Hematoxylin and eosin stain; 7 image tiles from a single gastric biopsy slide.
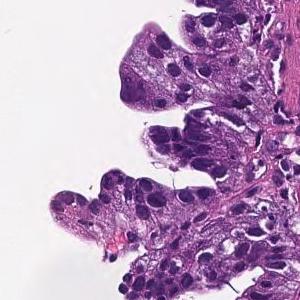
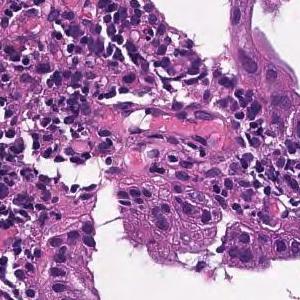
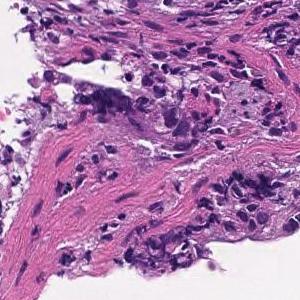
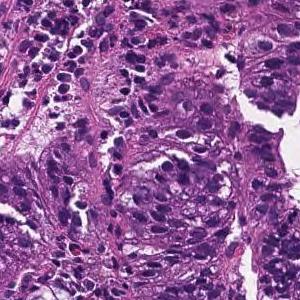
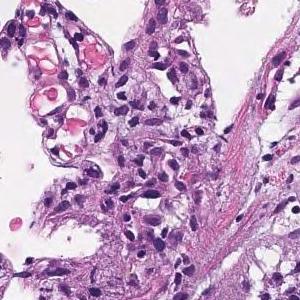
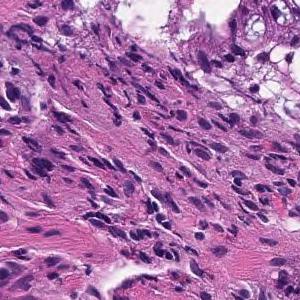
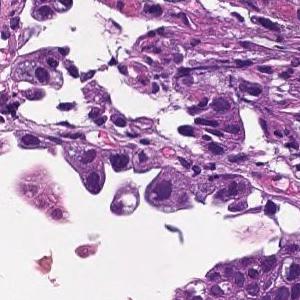
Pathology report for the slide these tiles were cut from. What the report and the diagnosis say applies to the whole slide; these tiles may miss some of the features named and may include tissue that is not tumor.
From the superficial epithelium to the muscularis mucosae, tumor tissue consisting of medium-sized and irregular glandular ducts infiltrating is observed. Well differentiated tubular adenocarcinoma
